11 patches cut from one gastric biopsy slide · 300×300 px each · scanned at ×20 · H&E stain.
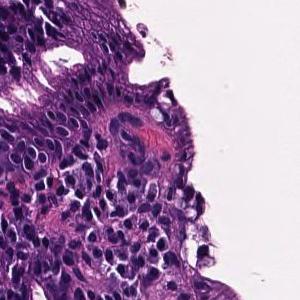
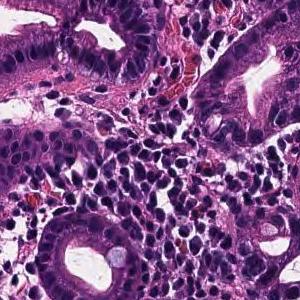
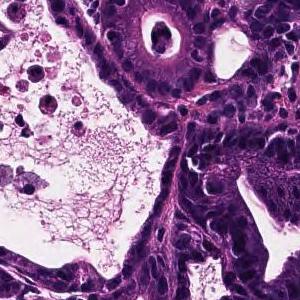
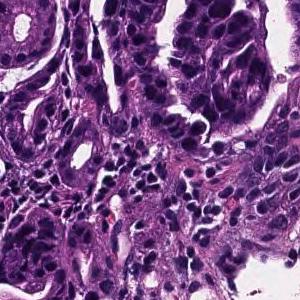
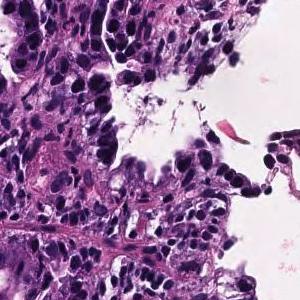
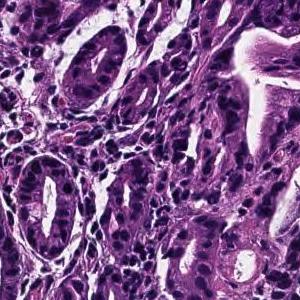
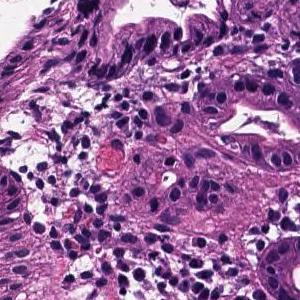
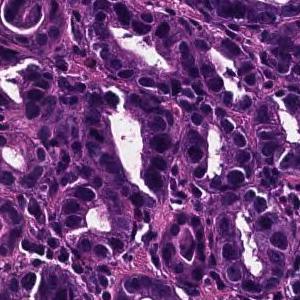
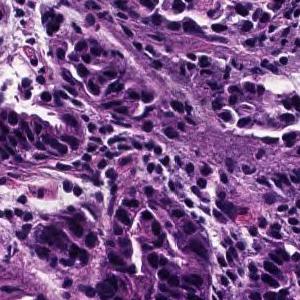
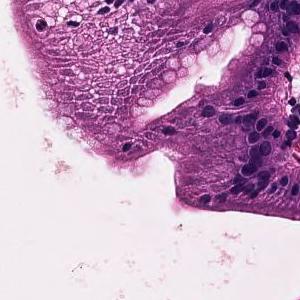
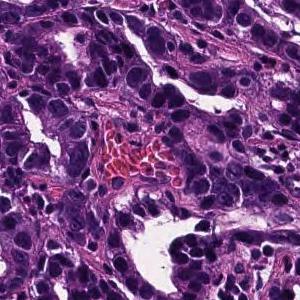
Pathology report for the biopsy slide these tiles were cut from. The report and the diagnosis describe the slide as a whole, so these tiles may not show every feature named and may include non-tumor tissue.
On the superficial epithelium, tumor tissue consisting of proliferative images of medium-sized to small-sized round or irregular glandular ducts is observed. Well differentiated tubular adenocarcinoma
